Scanned at ×20, H&E, 12 tiles from the same stomach biopsy slide, each 300 × 300 pixels.
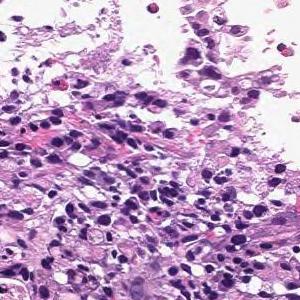
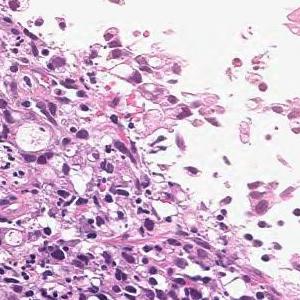
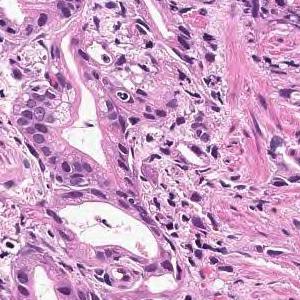
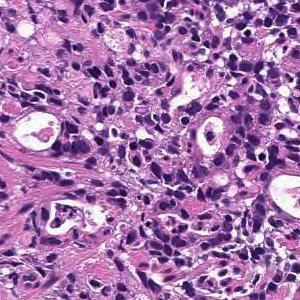
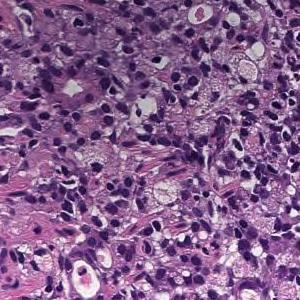
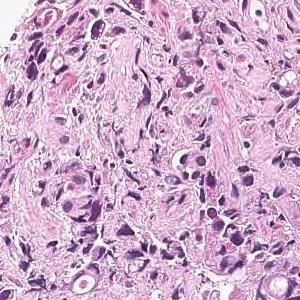
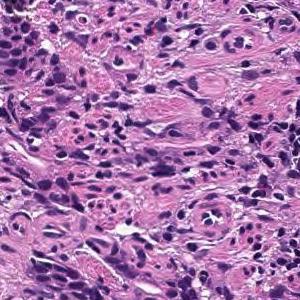
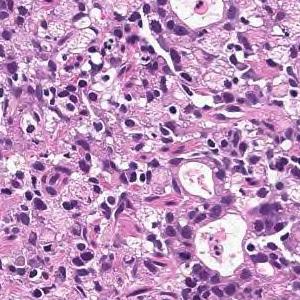
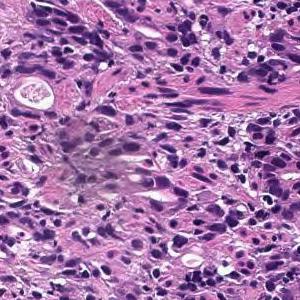
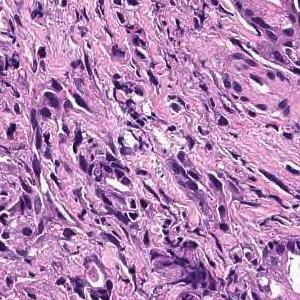
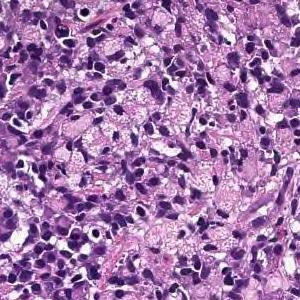
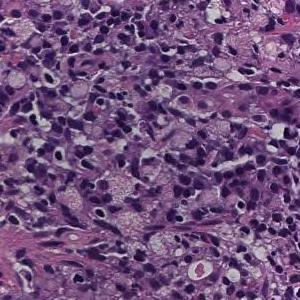
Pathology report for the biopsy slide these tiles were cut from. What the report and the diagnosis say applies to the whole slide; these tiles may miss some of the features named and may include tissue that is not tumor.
Tumor tissue consisting of cord-like or small, irregular glandular ducts fused and infiltrated is observed in the superficial epithelium. Poorly differentiated adenocarcinoma, non-solid type
The non-solid type named here is a Japanese Classification of Gastric Carcinoma category.
